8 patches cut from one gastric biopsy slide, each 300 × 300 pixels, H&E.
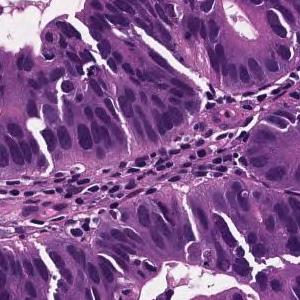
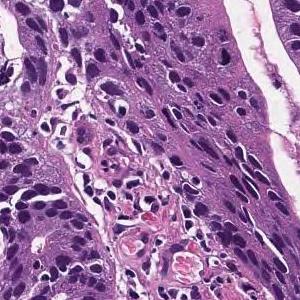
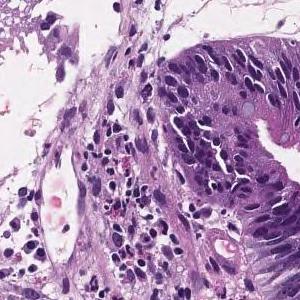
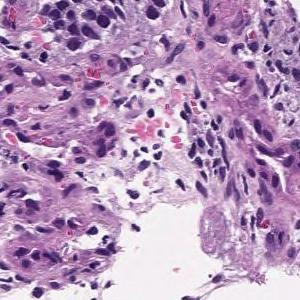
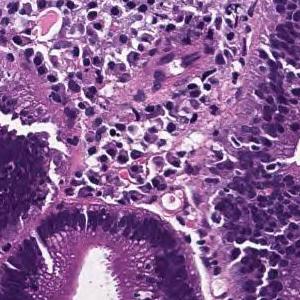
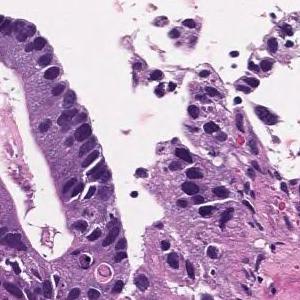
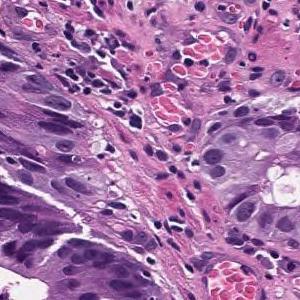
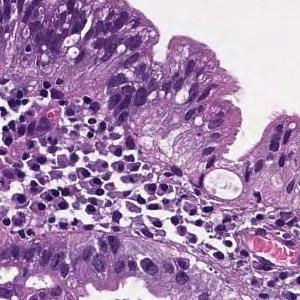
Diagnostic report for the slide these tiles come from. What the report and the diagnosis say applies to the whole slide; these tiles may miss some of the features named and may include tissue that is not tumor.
Tumor cells are large, highly columnar, large club-shaped nuclei, and are associated with chromatin aggregation. Papillary adenocarcinoma.
